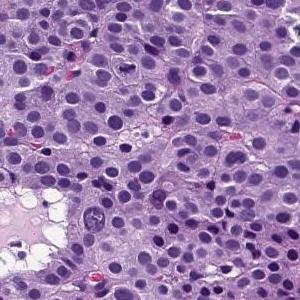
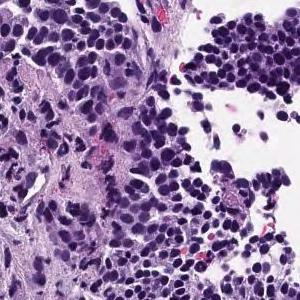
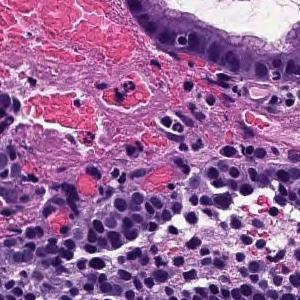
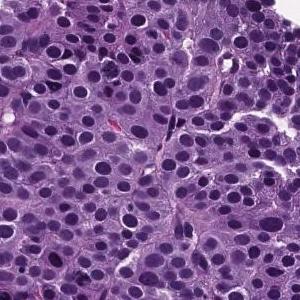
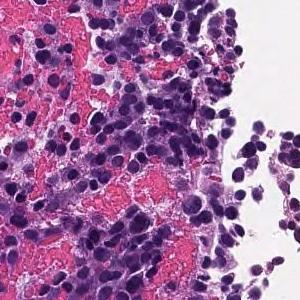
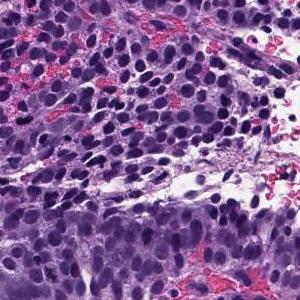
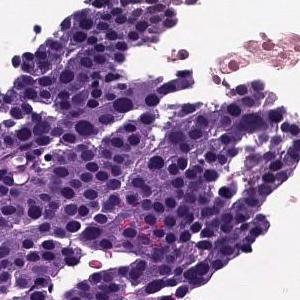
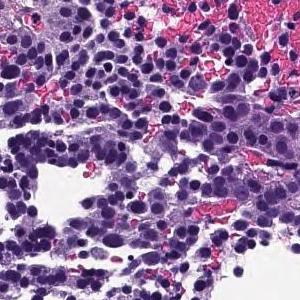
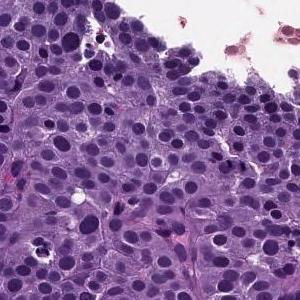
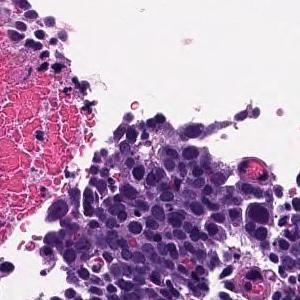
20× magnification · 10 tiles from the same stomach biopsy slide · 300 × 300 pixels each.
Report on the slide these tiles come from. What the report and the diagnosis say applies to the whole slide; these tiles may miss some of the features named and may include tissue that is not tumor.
The superficial epithelium shows a large sheet-like shape, and some tumor tissue infiltrates with small irregular ducts. Poorly differentiated adenocarcinoma, solid-type
Histologic type: Poorly differentiated adenocarcinoma, solid type. This name comes from the Japanese Classification of Gastric Carcinoma; the WHO 2019 classification calls it tubular adenocarcinoma, poorly differentiated.
